15 image tiles from a single gastric biopsy slide, 300×300 px each, H&E.
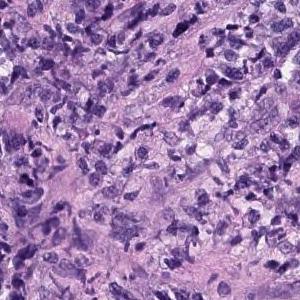
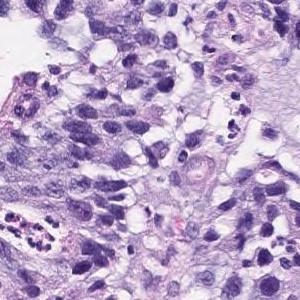
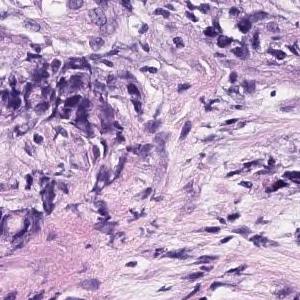
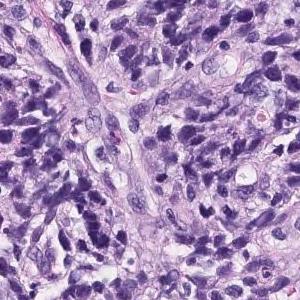
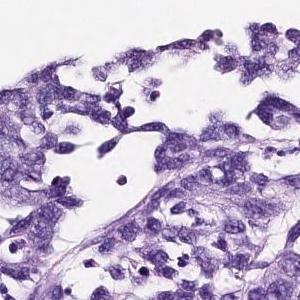
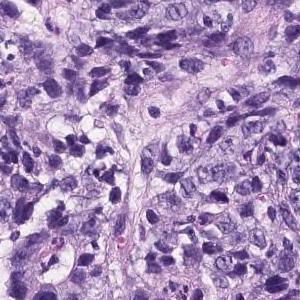
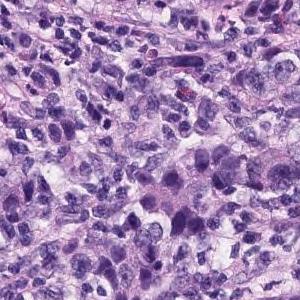
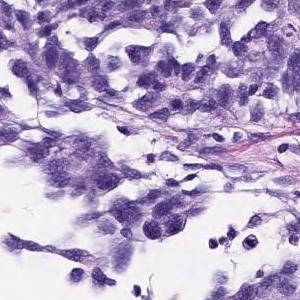
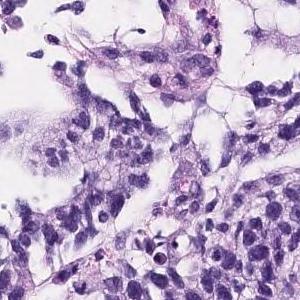
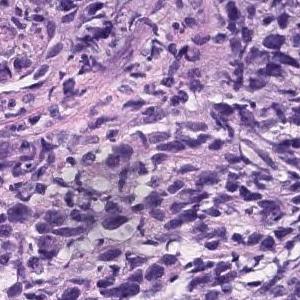
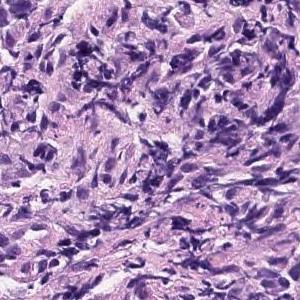
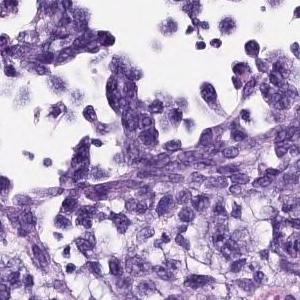
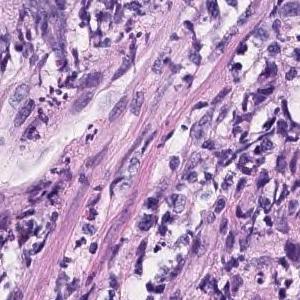
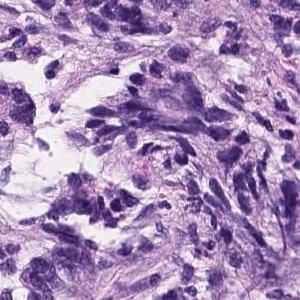
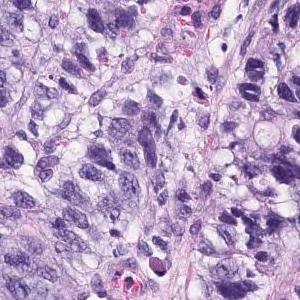
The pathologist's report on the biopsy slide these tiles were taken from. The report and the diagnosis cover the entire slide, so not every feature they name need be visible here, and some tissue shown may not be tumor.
The superficial epithelium shows a large sheet-like shape, and some tumor tissue infiltrates with small irregular ducts. Poorly differentiated adenocarcinoma, solid-type
Subtype: Poorly differentiated adenocarcinoma, solid type (Japanese Classification of Gastric Carcinoma). The WHO 2019 equivalent is tubular adenocarcinoma, poorly differentiated.
